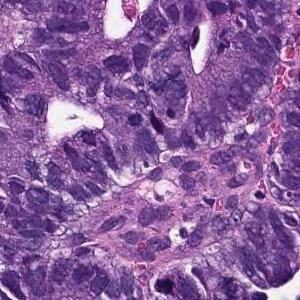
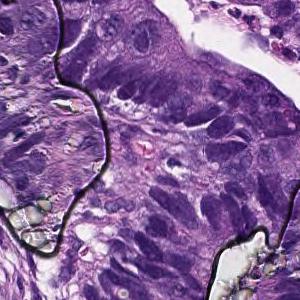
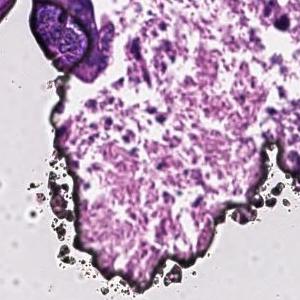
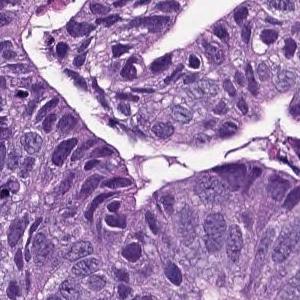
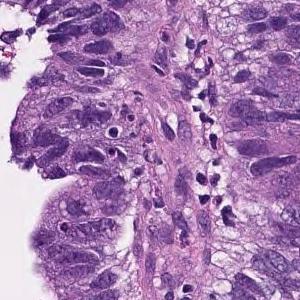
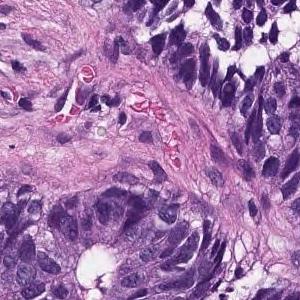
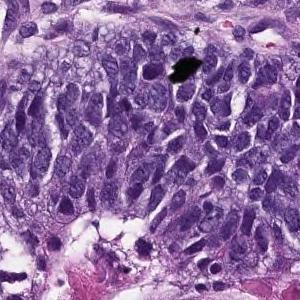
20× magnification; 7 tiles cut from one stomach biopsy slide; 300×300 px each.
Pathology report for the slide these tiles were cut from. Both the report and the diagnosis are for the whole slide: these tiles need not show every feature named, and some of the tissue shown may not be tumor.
In the superficial epithelium, tumor tissue that invades by forming medium-sized to small, irregular ducts is observed. moderately differentiated tubular adenocarcinoma.
